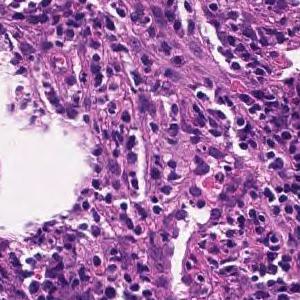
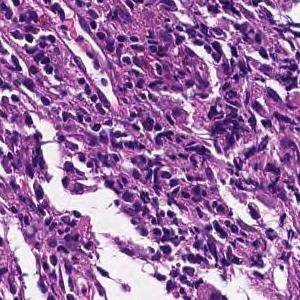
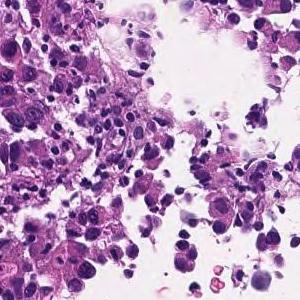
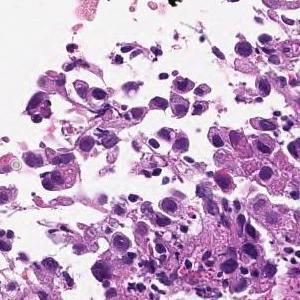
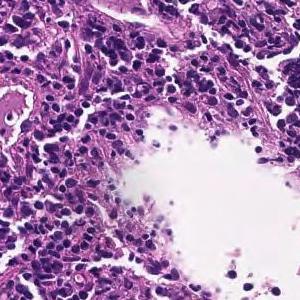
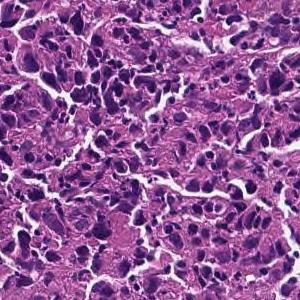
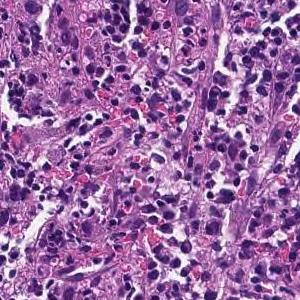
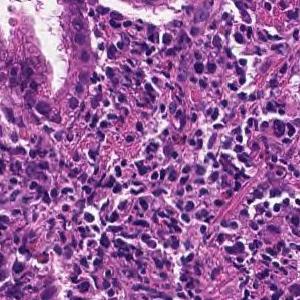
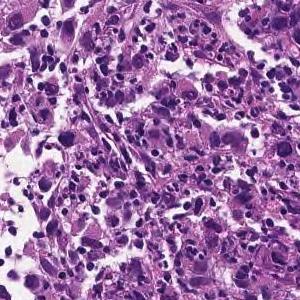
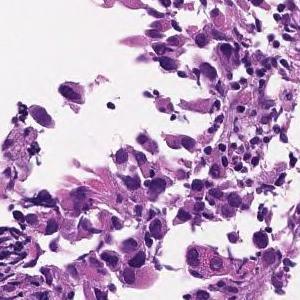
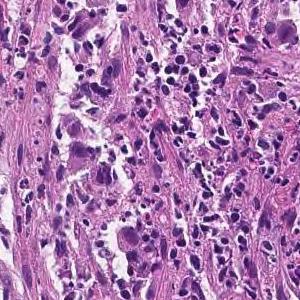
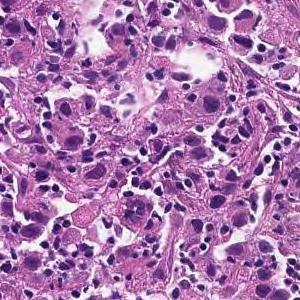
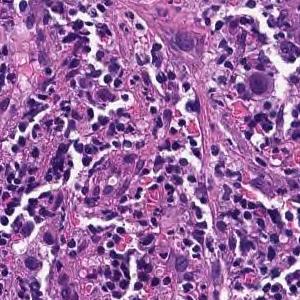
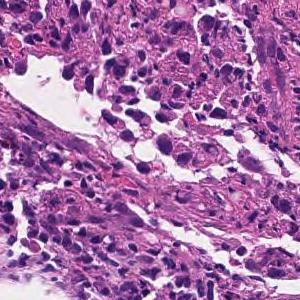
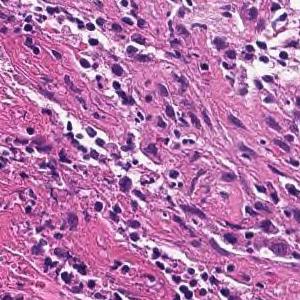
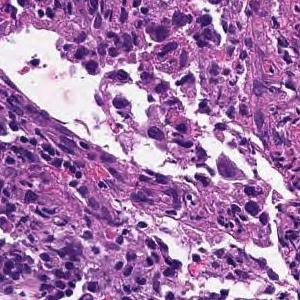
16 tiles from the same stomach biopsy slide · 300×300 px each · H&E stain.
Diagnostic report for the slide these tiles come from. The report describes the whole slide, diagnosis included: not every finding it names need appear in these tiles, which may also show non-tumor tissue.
The superficial epithelium shows a large sheet-like shape, and some tumor tissue infiltrates with small irregular ducts. Poorly differentiated adenocarcinoma, solid-type (poorly differentiated adenocarcinoma, solid type)
Tumor subtype: poorly differentiated adenocarcinoma, solid type (Japanese Classification of Gastric Carcinoma). The WHO 2019 equivalent is tubular adenocarcinoma, poorly differentiated.
